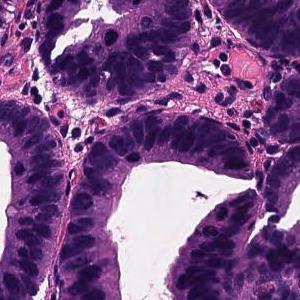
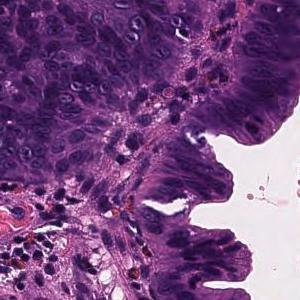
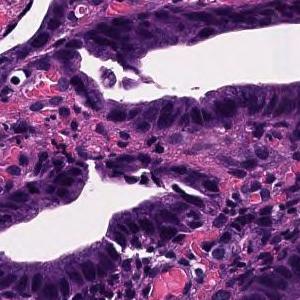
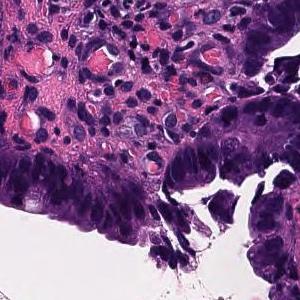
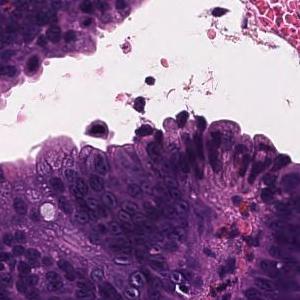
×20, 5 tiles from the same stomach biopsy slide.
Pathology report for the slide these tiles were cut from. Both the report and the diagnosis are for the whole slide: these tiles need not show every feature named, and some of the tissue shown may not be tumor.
Tumor cells are large, highly columnar, large club-shaped nuclei, and are associated with chromatin aggregation. Papillary adenocarcinoma.
